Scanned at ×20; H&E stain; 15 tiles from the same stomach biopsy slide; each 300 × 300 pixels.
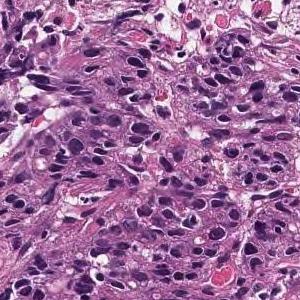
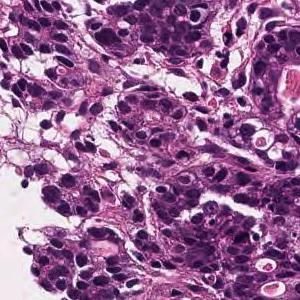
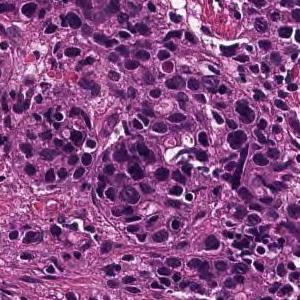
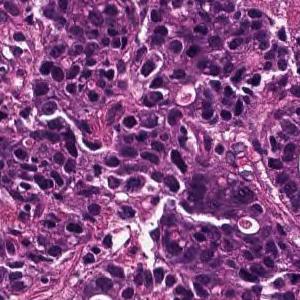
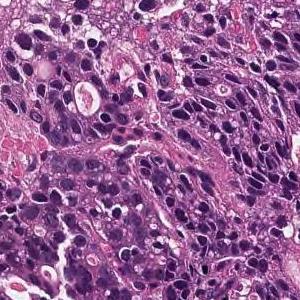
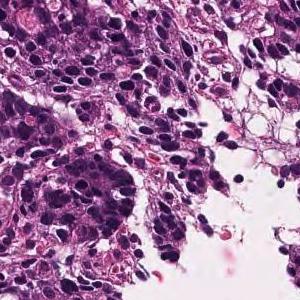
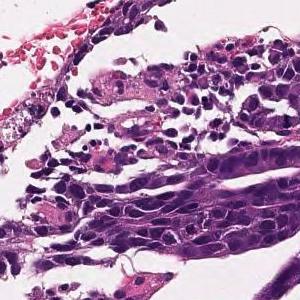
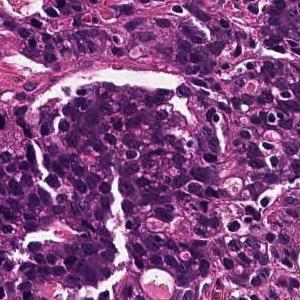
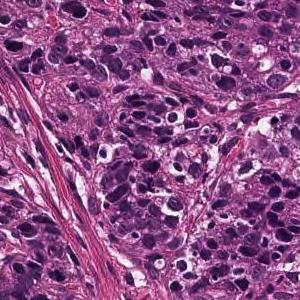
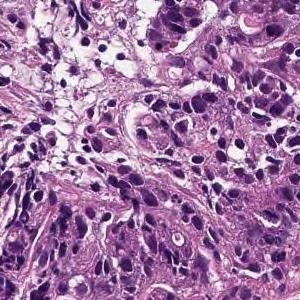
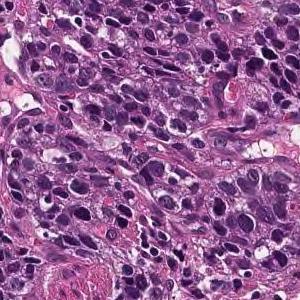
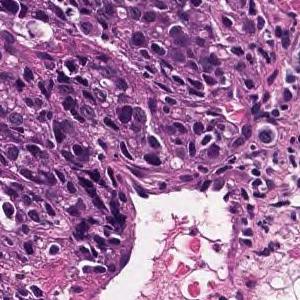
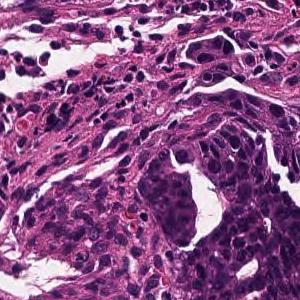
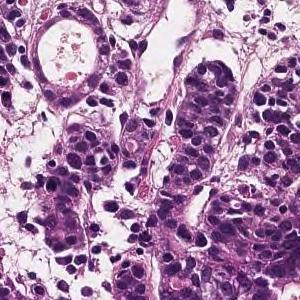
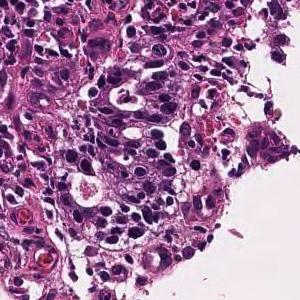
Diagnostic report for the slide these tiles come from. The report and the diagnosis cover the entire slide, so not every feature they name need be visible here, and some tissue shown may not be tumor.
Medium to small, irregular glandular ducts are formed in the superficial epithelium, and in some cases, the glandular ducts are fused to show solid alveolar lesions and infiltrating tumor tissue is observed. Moderately to poorly differentiated adenocarcinoma.
